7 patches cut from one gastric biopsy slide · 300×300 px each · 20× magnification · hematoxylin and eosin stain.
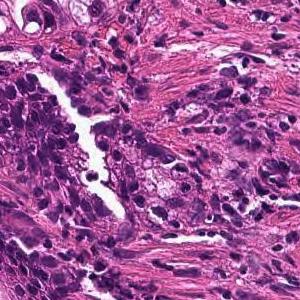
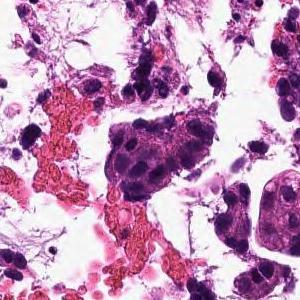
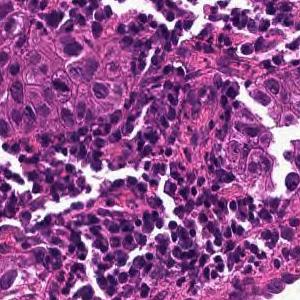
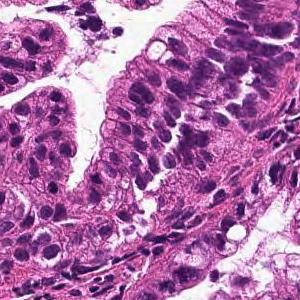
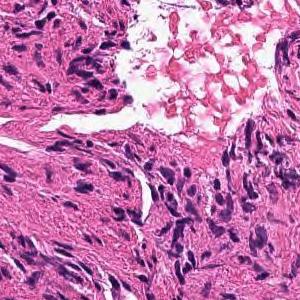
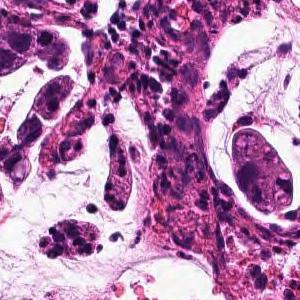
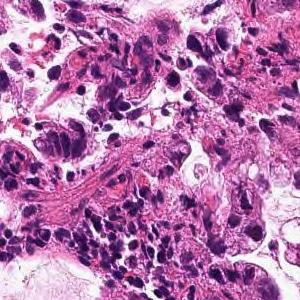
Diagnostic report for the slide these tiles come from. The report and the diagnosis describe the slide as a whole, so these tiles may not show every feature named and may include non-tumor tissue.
From the superficial epithelium to the muscularis mucosae, tumor tissue infiltrating by forming medium-sized irregular gland ducts is observed. Well differentiated tubular adenocarcinoma
